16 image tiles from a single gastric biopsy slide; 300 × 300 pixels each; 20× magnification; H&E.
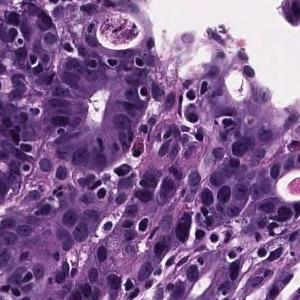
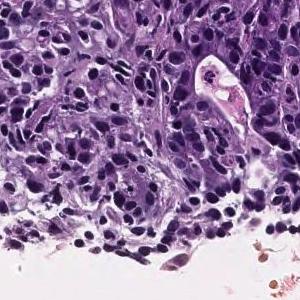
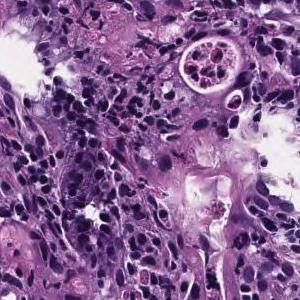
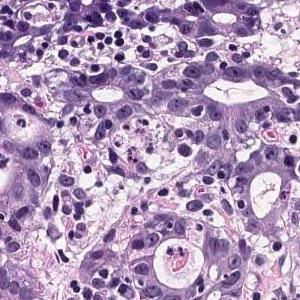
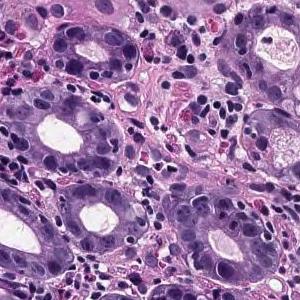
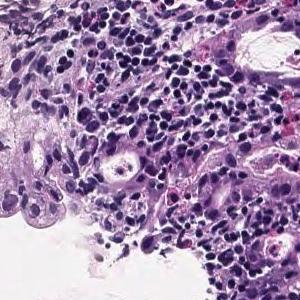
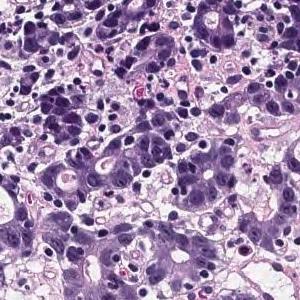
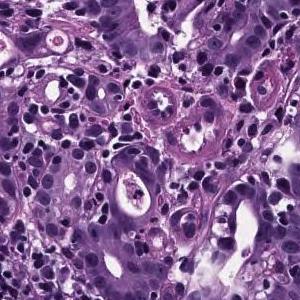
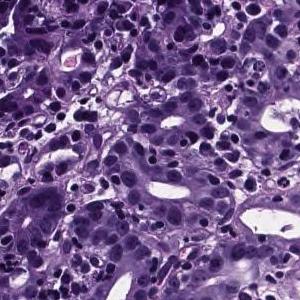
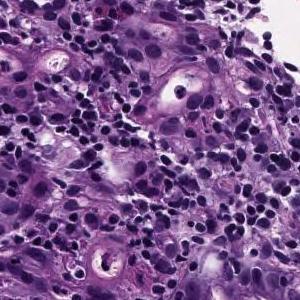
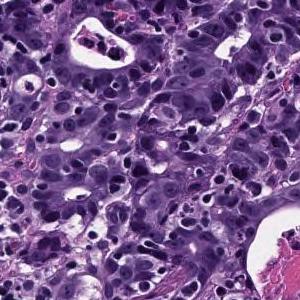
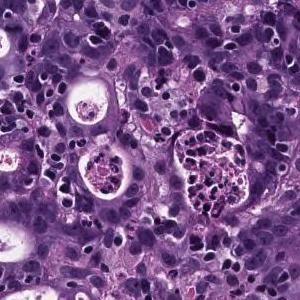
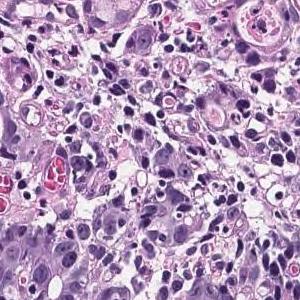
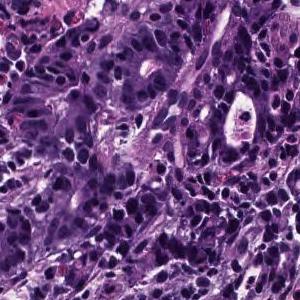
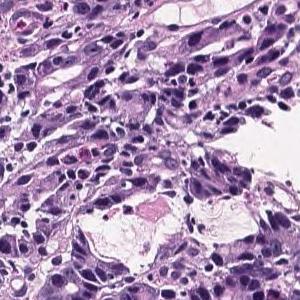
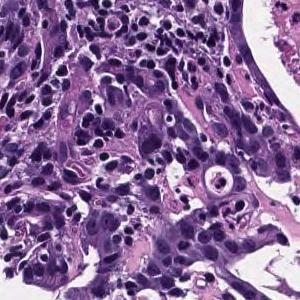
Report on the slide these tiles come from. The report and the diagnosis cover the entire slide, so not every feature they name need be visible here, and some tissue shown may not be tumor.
In the superficial epithelium, tumor tissue that invades by forming medium-sized to small, irregular ducts is observed. moderately differentiated tubular adenocarcinoma.
